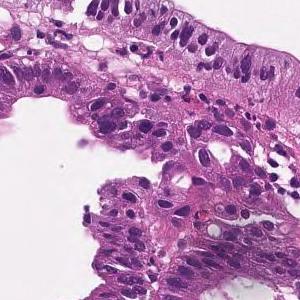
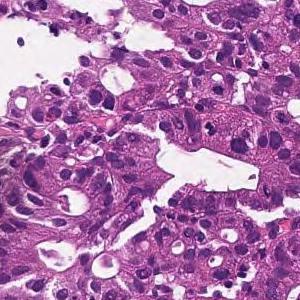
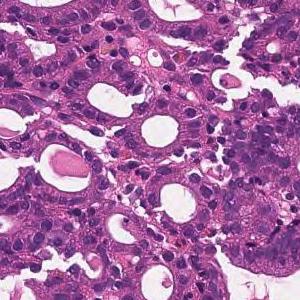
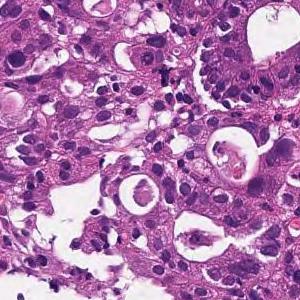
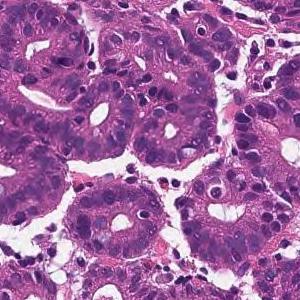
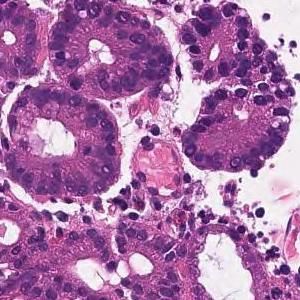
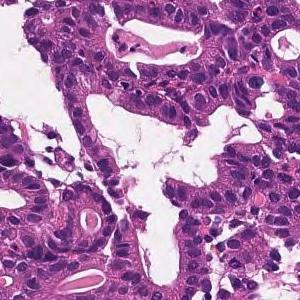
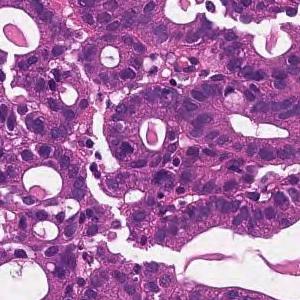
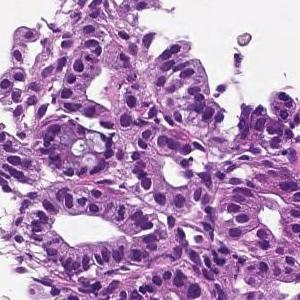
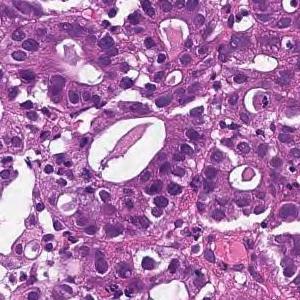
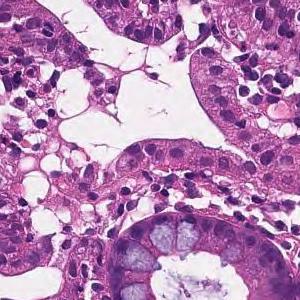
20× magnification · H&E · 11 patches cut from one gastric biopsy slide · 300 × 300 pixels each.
Pathology report for the biopsy slide these tiles were cut from. The report and the diagnosis cover the entire slide, so not every feature they name need be visible here, and some tissue shown may not be tumor.
On the superficial epithelium, tumor tissue consisting of medium-sized irregular glandular ducts partially fused and infiltrated is observed. Well to moderately differentiated tubular adenocarcinoma (well differentiated tubular adenocarcinoma-moderately differentiated tubular adenocarcinoma)
Tumor subtype: well to moderately differentiated tubular adenocarcinoma.
